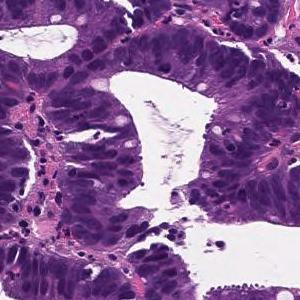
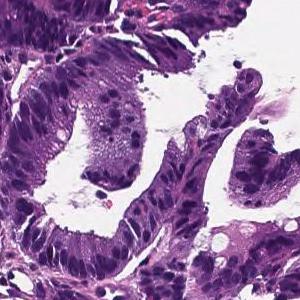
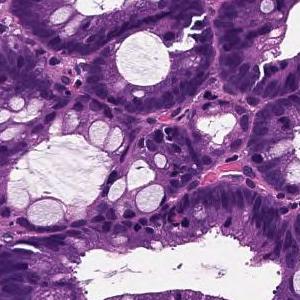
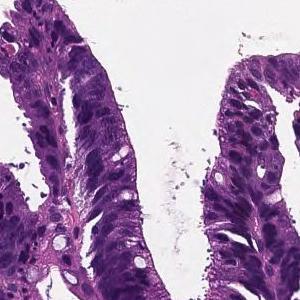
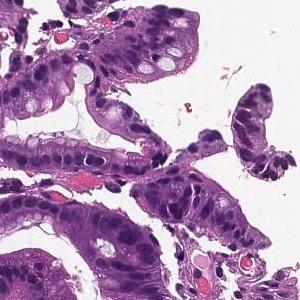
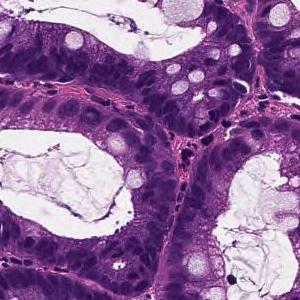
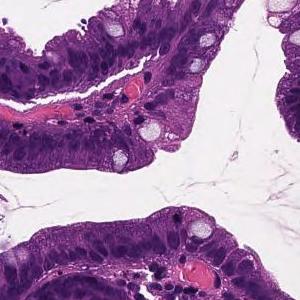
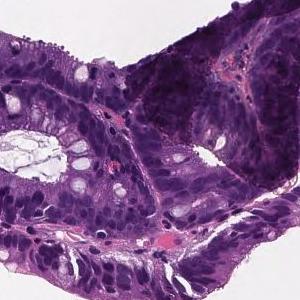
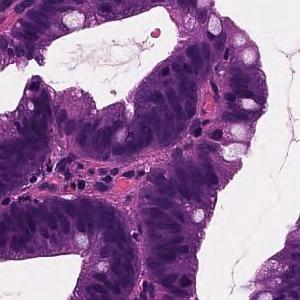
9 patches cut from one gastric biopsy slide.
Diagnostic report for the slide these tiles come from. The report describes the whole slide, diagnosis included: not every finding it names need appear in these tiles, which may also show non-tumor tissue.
moderately differentiated tubular adenocarcinoma infiltrates in the submucosa massively.
Histologic type: Moderately differentiated tubular adenocarcinoma.
